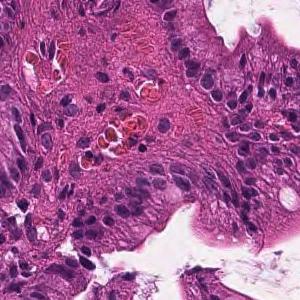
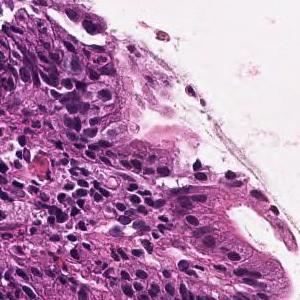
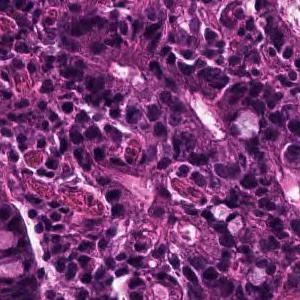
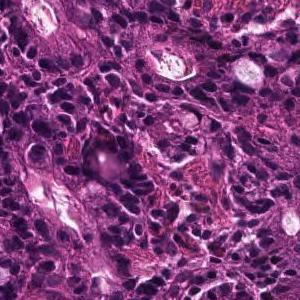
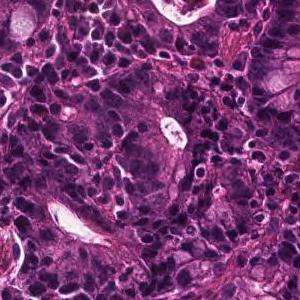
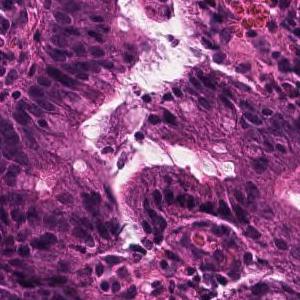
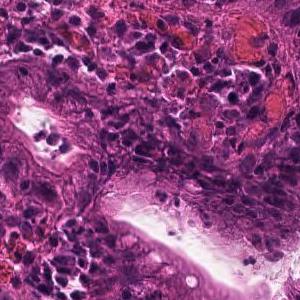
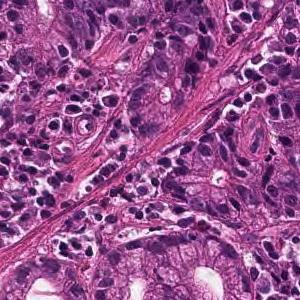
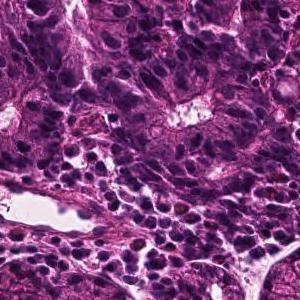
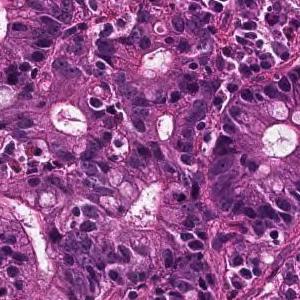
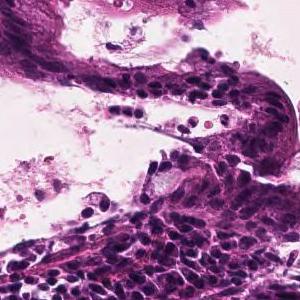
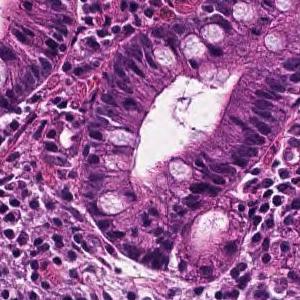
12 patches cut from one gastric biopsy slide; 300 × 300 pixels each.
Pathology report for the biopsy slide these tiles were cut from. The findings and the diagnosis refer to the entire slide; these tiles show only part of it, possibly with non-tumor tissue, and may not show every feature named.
In the superficial epithelium, tumor tissue that invades by forming medium-sized to small, irregular ducts is observed. moderately differentiated tubular adenocarcinoma.
